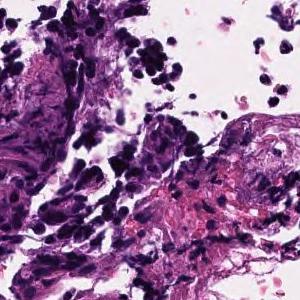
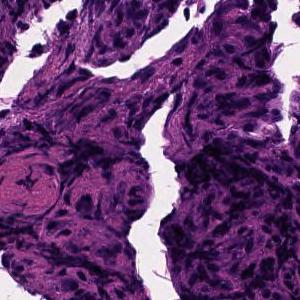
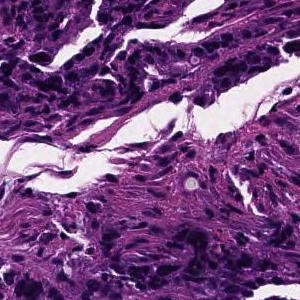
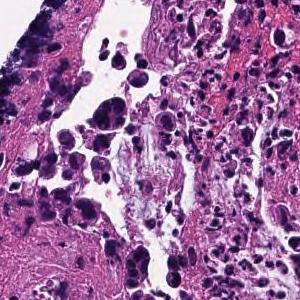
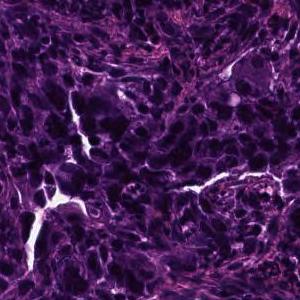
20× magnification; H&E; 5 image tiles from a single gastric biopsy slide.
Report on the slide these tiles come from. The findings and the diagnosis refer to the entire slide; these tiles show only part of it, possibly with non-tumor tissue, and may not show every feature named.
In the superficial epithelium, tumor tissue that invades by forming medium-sized to small, irregular ducts is observed. moderately differentiated tubular adenocarcinoma.
